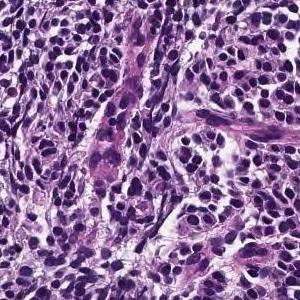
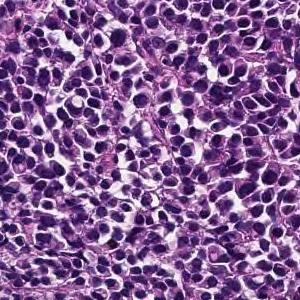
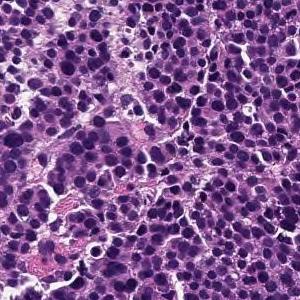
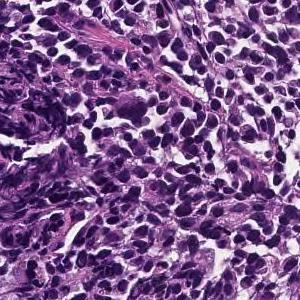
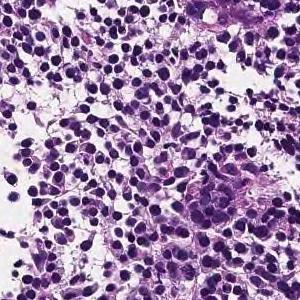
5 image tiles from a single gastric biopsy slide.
Diagnostic report for the slide these tiles come from. The report describes the whole slide, diagnosis included: not every finding it names need appear in these tiles, which may also show non-tumor tissue.
Large sheet-like or diffusely infiltrating tumor tissue is found in the superficial epithelium. Poorly differentiated adenocarcinoma, solid-type
Classified as poorly differentiated adenocarcinoma, solid type. This name comes from the Japanese Classification of Gastric Carcinoma; the WHO 2019 classification calls it tubular adenocarcinoma, poorly differentiated.
